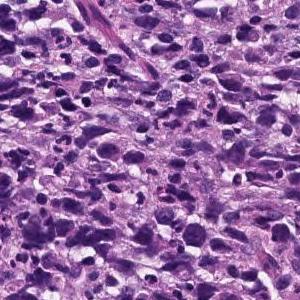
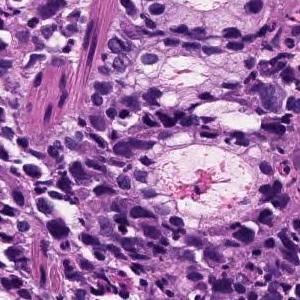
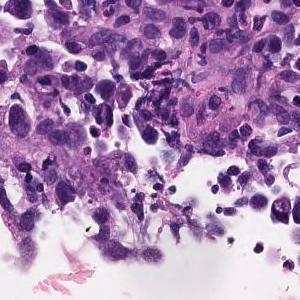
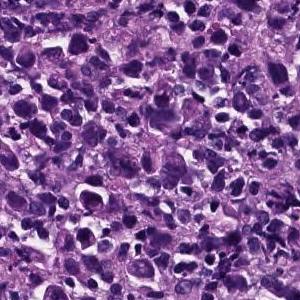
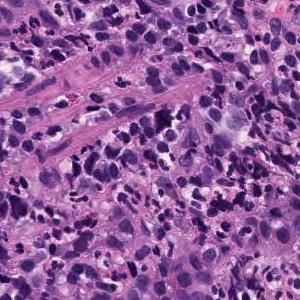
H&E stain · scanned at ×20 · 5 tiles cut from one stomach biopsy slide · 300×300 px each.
Diagnostic report for the slide these tiles come from. The findings and the diagnosis refer to the entire slide; these tiles show only part of it, possibly with non-tumor tissue, and may not show every feature named.
Poorly differentiated, solid adenocarcinoma (poorly differentiated adenocarcinoma, solid type) with tumor tissue diffusely infiltrated with atypical epithelial cells
Histologic type: Poorly differentiated adenocarcinoma, solid type (Japanese Classification of Gastric Carcinoma). The WHO 2019 equivalent is tubular adenocarcinoma, poorly differentiated.
